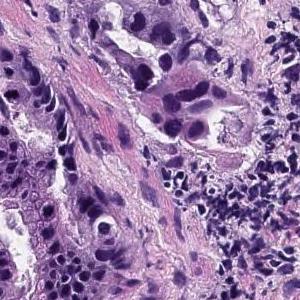
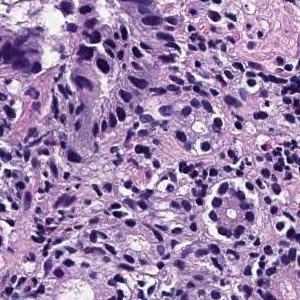
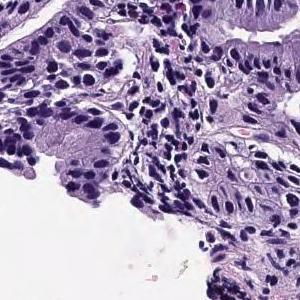
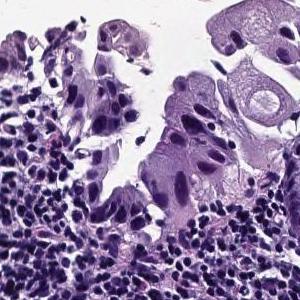
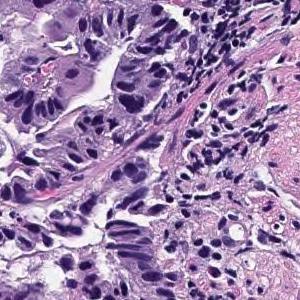
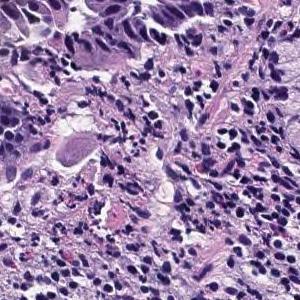
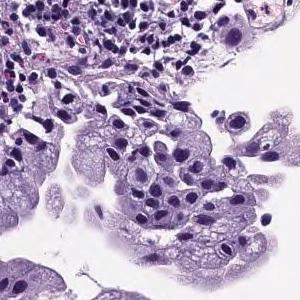
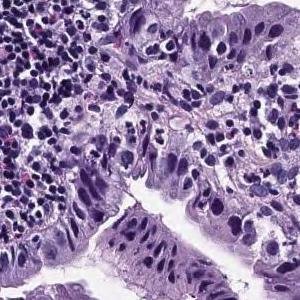
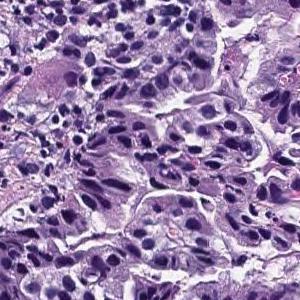
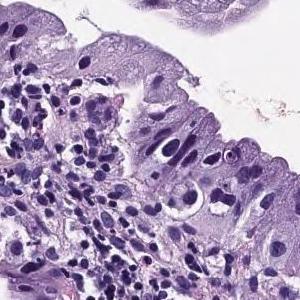
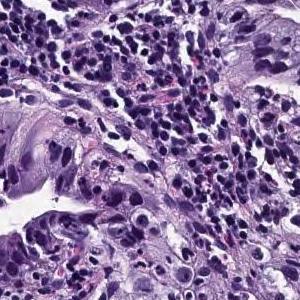
11 patches cut from one gastric biopsy slide · scanned at ×20 · H&E.
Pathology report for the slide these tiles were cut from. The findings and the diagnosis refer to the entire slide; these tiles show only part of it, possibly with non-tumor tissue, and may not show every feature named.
Atypical epithelium with anisocytosis forming a large irregular duct and proliferating is observed. moderately differentiated tubular adenocarcinoma
